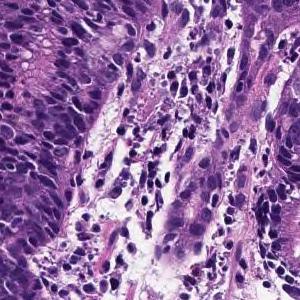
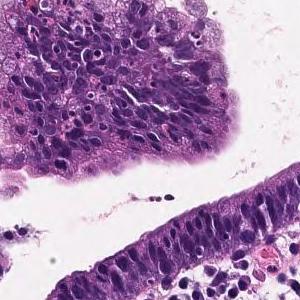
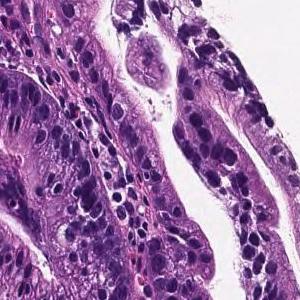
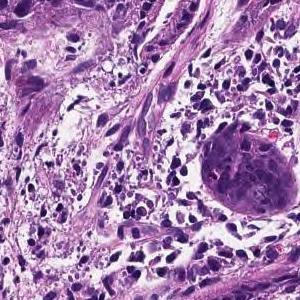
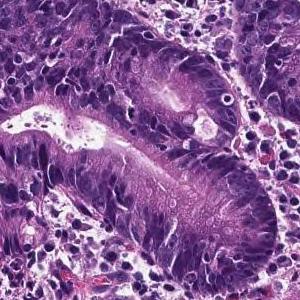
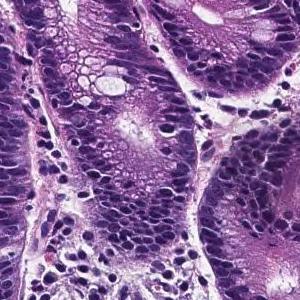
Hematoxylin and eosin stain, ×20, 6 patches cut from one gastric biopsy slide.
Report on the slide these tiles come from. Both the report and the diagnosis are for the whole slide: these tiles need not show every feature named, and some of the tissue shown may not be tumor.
From the superficial epithelium to the muscularis mucosae, tumor tissue consisting of medium-sized and irregular glandular ducts infiltrating is observed. Well differentiated tubular adenocarcinoma
